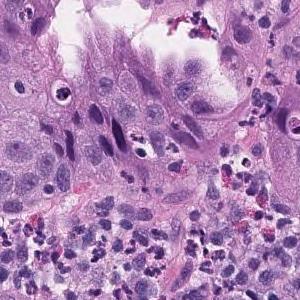
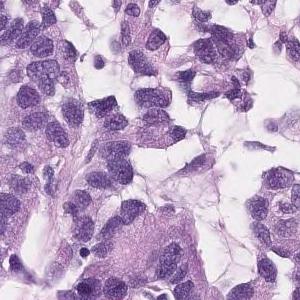
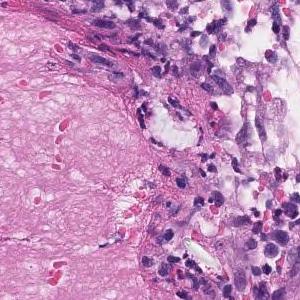
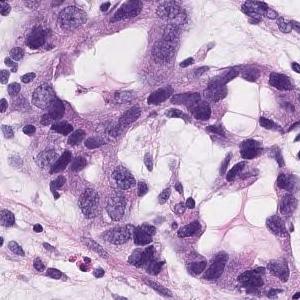
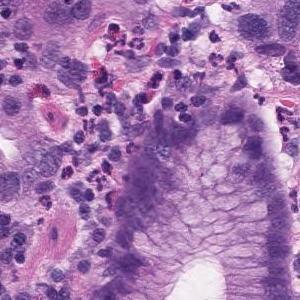
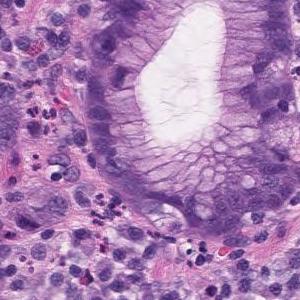
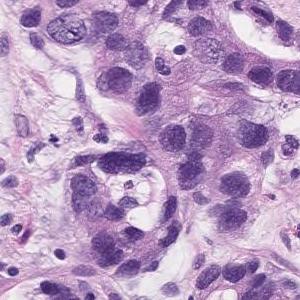
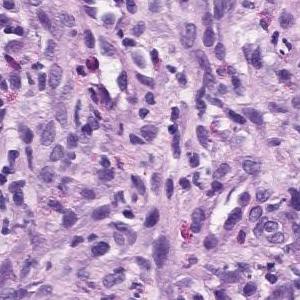
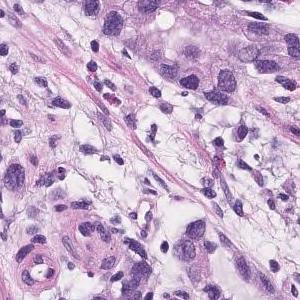
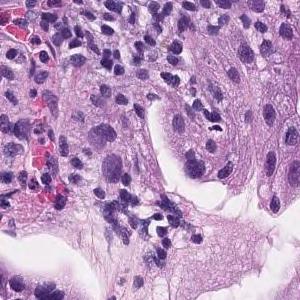
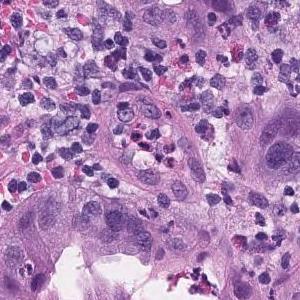
11 tiles cut from one stomach biopsy slide · each 300 × 300 pixels · H&E · 20× magnification.
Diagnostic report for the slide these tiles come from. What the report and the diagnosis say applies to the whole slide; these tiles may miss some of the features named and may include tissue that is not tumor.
Group 5, Adenocarcinoma. Moderately to poorly differentiated adenocarcinoma
